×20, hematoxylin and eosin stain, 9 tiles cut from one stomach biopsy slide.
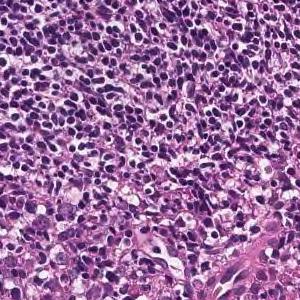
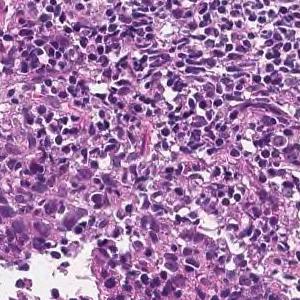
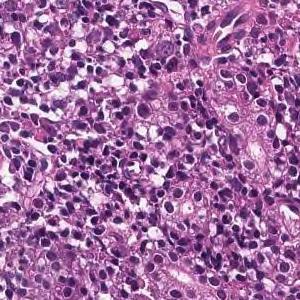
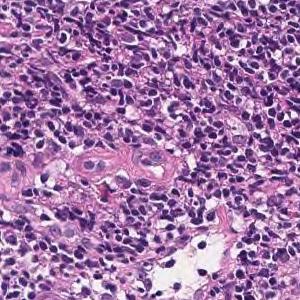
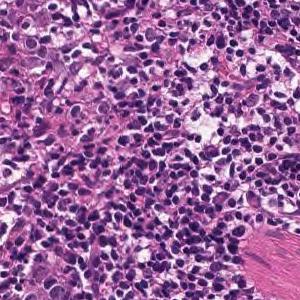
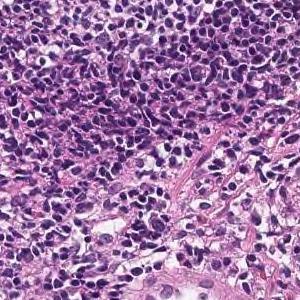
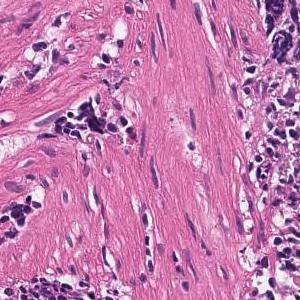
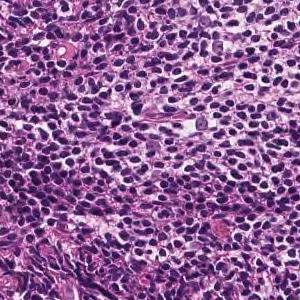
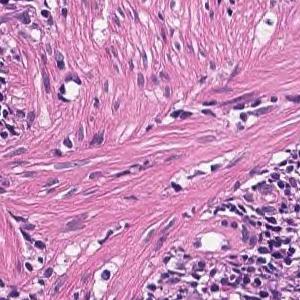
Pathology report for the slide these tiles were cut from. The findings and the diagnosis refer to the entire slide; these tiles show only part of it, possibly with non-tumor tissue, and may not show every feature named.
Tumor tissue consisting of cord-like or small, irregular glandular ducts fused and infiltrated is observed in the superficial epithelium. Poorly differentiated adenocarcinoma, non-solid type
The non-solid type named here is a Japanese Classification of Gastric Carcinoma category.
